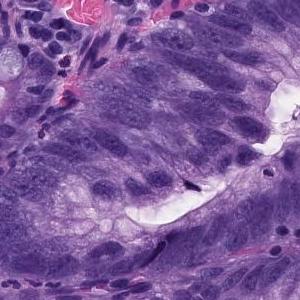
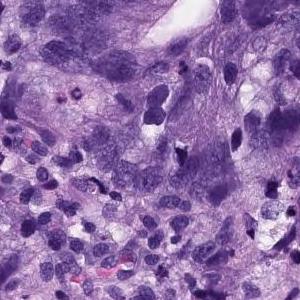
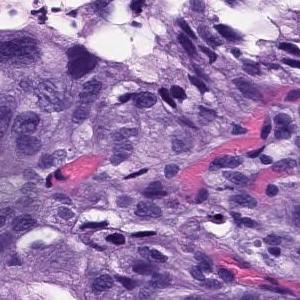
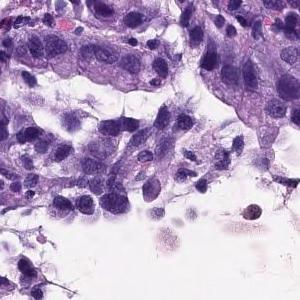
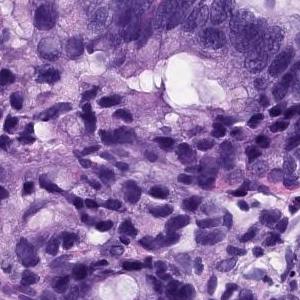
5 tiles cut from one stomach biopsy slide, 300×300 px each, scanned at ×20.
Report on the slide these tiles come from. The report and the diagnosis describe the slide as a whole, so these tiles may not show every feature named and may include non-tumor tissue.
There are large atypical epithelial cells infiltrating and proliferating while forming atypical glandular cavities showing a fusion tendency. Moderately differentiated tubular adenocarcinoma.
